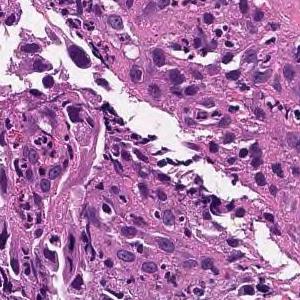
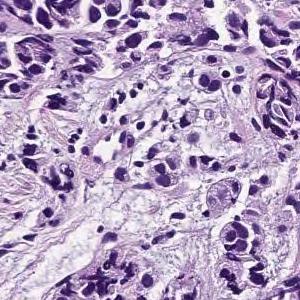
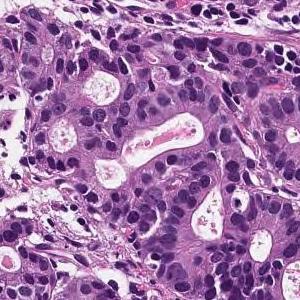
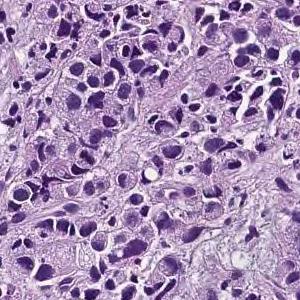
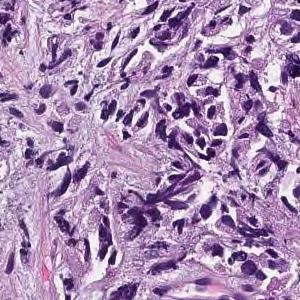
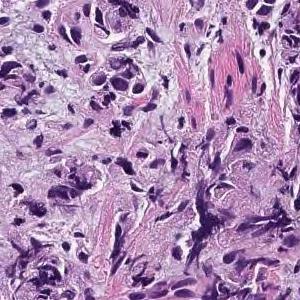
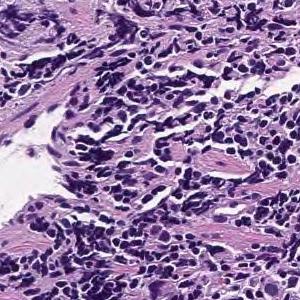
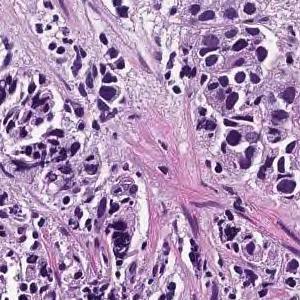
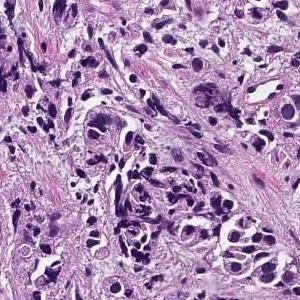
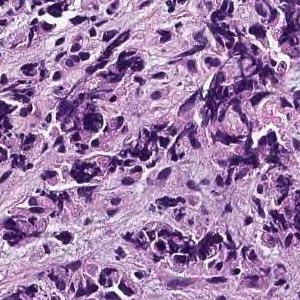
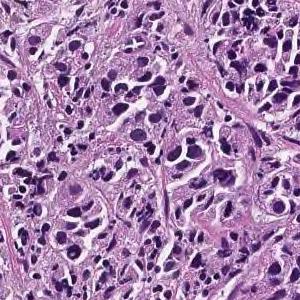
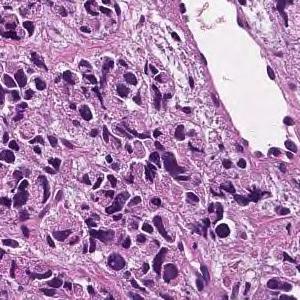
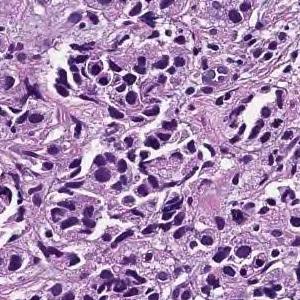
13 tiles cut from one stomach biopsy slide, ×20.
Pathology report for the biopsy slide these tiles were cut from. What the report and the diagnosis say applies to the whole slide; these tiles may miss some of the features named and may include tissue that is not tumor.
The lamina propria shows small cord-like tumor tissue that infiltrates with fibrosis and marked chronic inflammatory cell infiltration. Poorly differentiated adenocarcinoma, non-solid type
The term "non-solid type" comes from the Japanese Classification of Gastric Carcinoma.
